H&E stain · 20× magnification · 12 tiles from the same stomach biopsy slide · each 300 × 300 pixels.
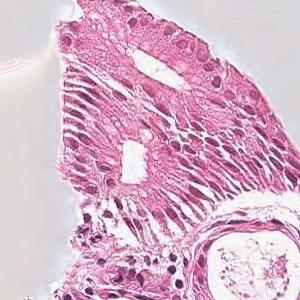
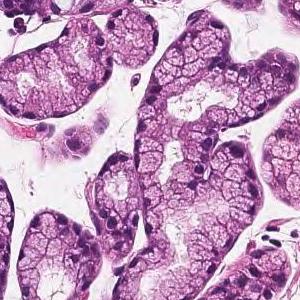
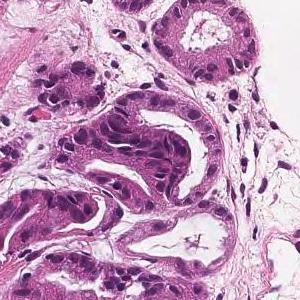
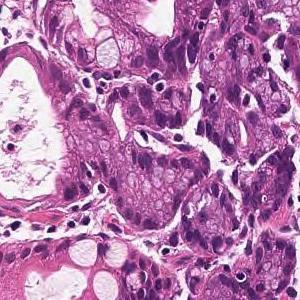
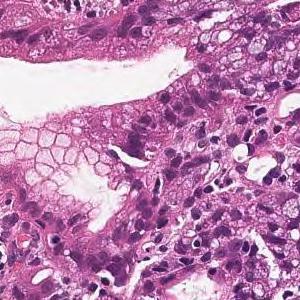
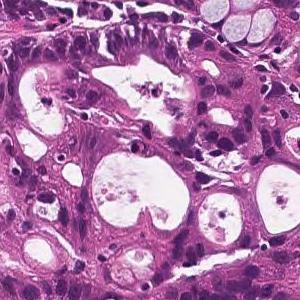
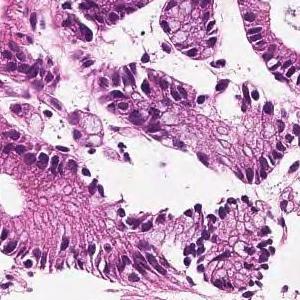
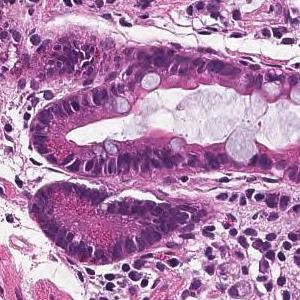
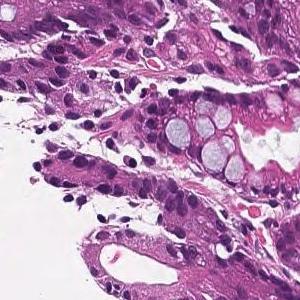
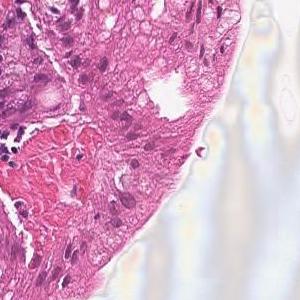
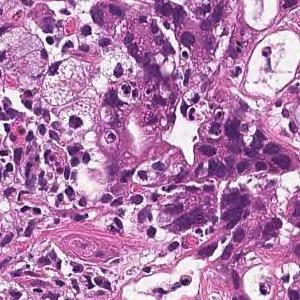
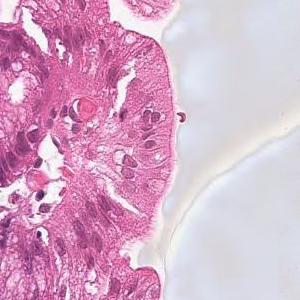
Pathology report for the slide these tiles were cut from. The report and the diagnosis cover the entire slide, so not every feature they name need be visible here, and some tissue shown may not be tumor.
In the superficial epithelium, tumor tissue that invades by forming medium-sized to small, irregular ducts is observed. moderately differentiated tubular adenocarcinoma.
